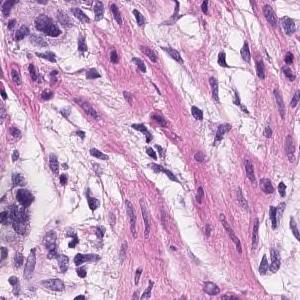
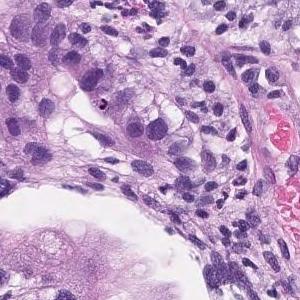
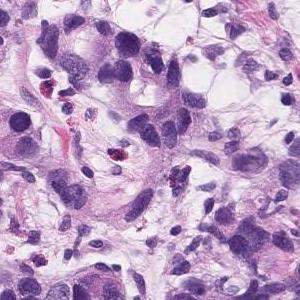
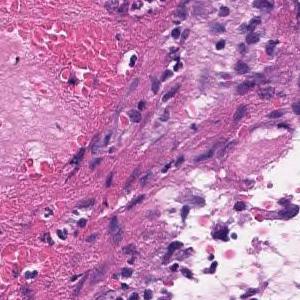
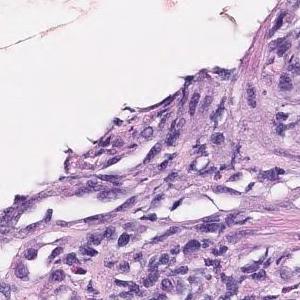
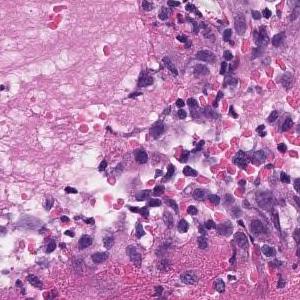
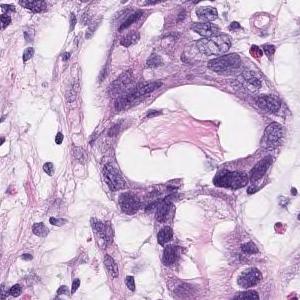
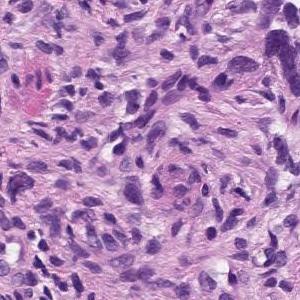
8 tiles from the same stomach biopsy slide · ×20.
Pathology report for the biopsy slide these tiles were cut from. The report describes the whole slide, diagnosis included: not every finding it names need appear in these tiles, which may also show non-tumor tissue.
Group 5, Adenocarcinoma. Moderately to poorly differentiated adenocarcinoma
